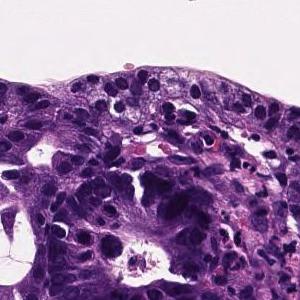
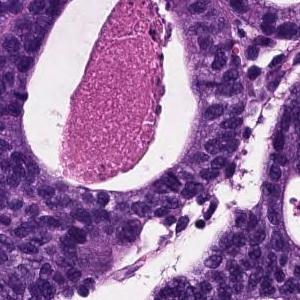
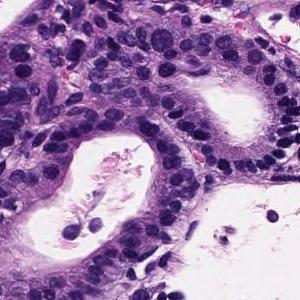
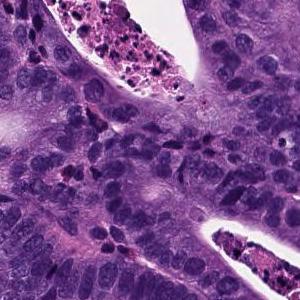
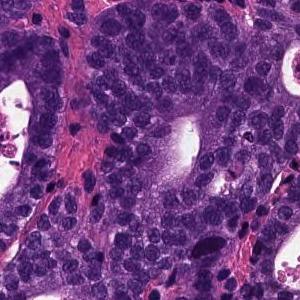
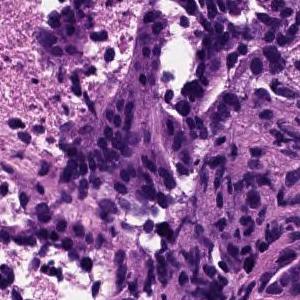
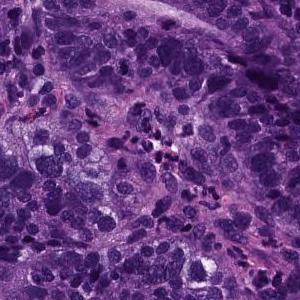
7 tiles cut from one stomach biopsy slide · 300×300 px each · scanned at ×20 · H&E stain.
Pathology report for the biopsy slide these tiles were cut from. The report and the diagnosis describe the slide as a whole, so these tiles may not show every feature named and may include non-tumor tissue.
From the superficial epithelium to the muscularis mucosae, tumor tissue consisting of medium-sized and irregular glandular ducts infiltrating is observed. Well differentiated tubular adenocarcinoma
